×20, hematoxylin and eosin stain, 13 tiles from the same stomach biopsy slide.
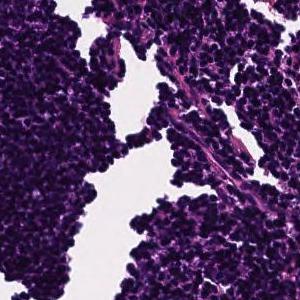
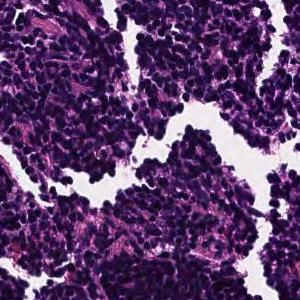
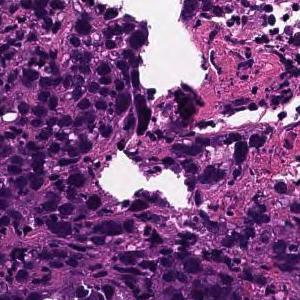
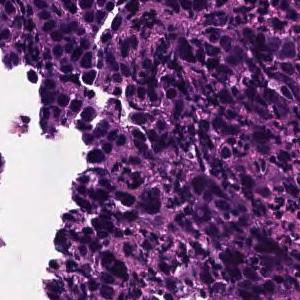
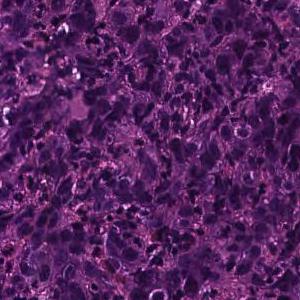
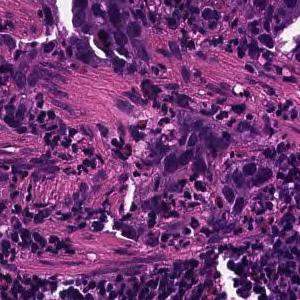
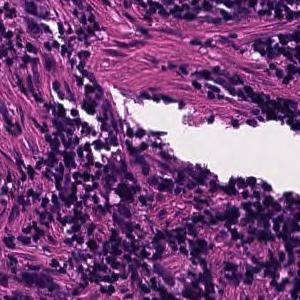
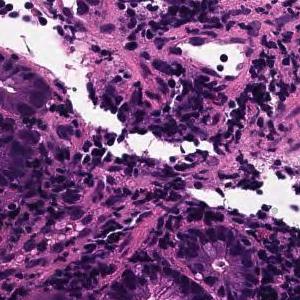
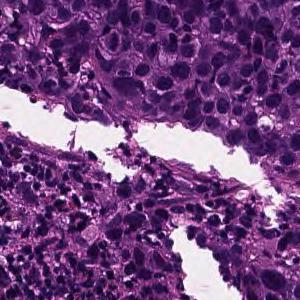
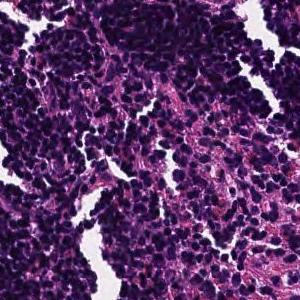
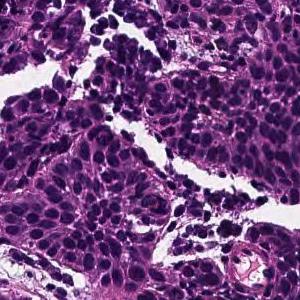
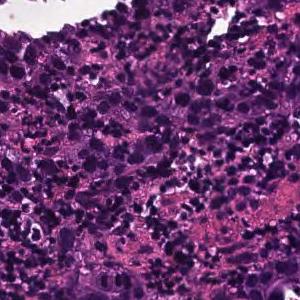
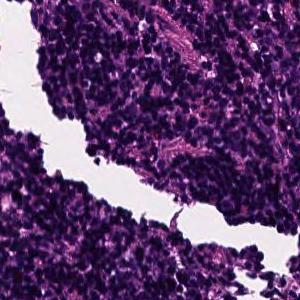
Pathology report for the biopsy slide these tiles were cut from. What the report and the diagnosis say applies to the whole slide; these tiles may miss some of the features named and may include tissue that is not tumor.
Tumor tissue consisting of cord-like or small, irregular glandular ducts fused and infiltrated is observed in the superficial epithelium. Poorly differentiated adenocarcinoma, non-solid type
The term "non-solid type" comes from the Japanese Classification of Gastric Carcinoma.
